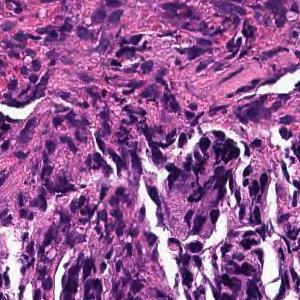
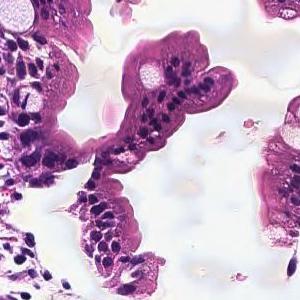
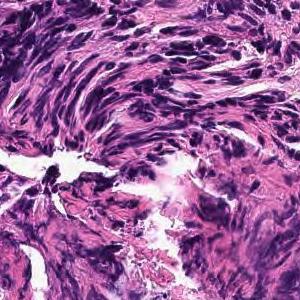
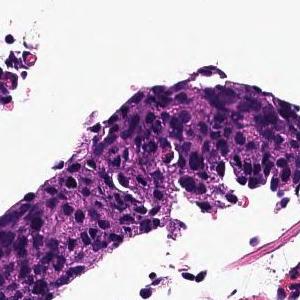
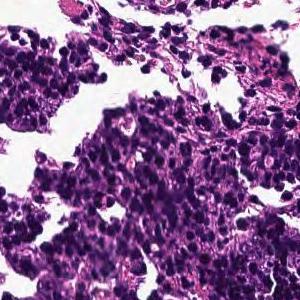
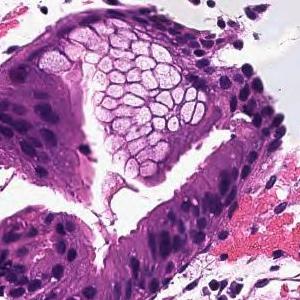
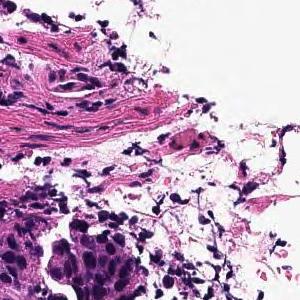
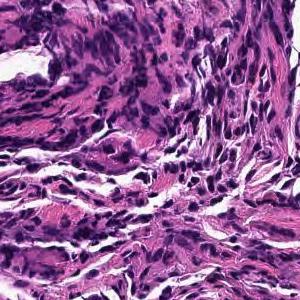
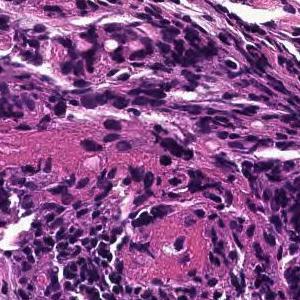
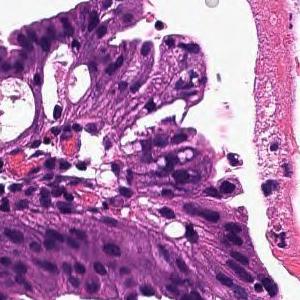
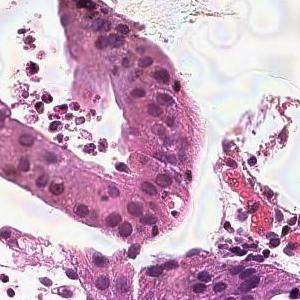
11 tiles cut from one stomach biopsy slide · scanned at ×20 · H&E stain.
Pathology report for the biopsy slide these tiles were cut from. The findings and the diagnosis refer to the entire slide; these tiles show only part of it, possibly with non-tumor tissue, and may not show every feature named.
In the superficial epithelium, tumor tissue that invades by forming medium-sized to small, irregular ducts is observed. moderately differentiated tubular adenocarcinoma.
